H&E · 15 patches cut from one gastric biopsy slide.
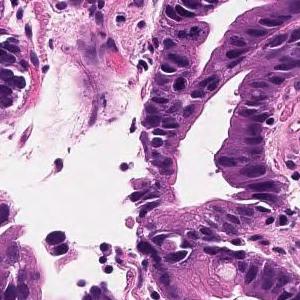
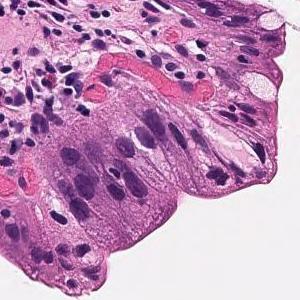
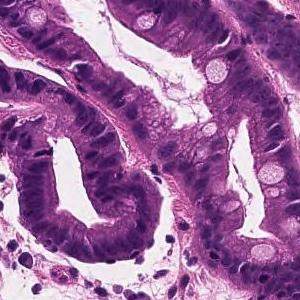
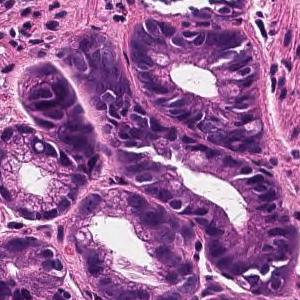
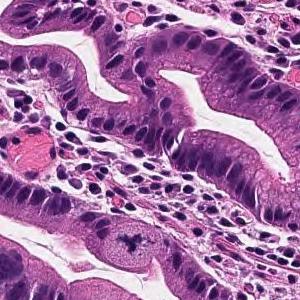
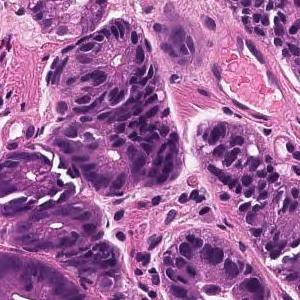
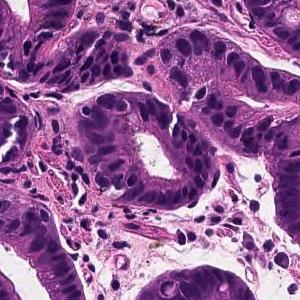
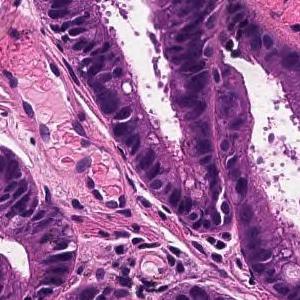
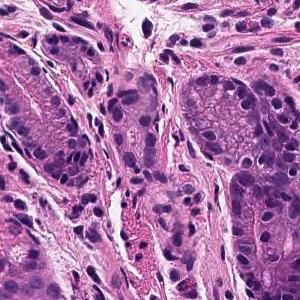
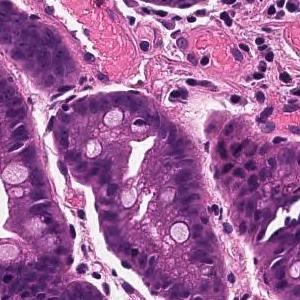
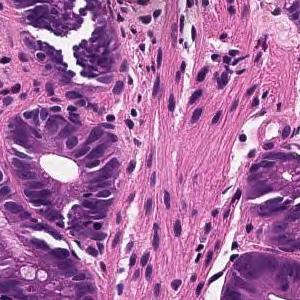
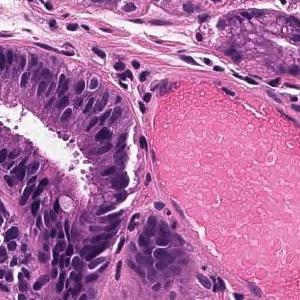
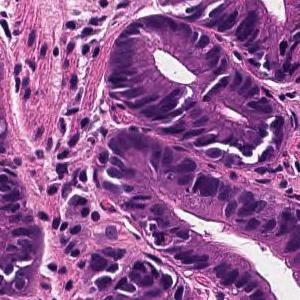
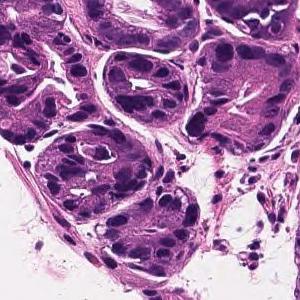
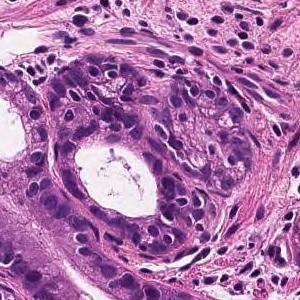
Diagnostic report for the slide these tiles come from. The report and the diagnosis describe the slide as a whole, so these tiles may not show every feature named and may include non-tumor tissue.
Tumor cells are large, highly columnar, large club-shaped nuclei, and are associated with chromatin aggregation. Papillary adenocarcinoma.
